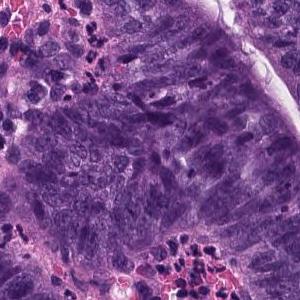
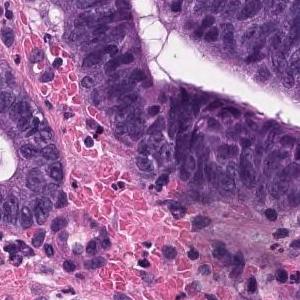
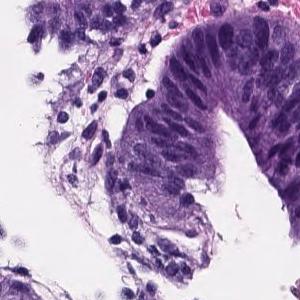
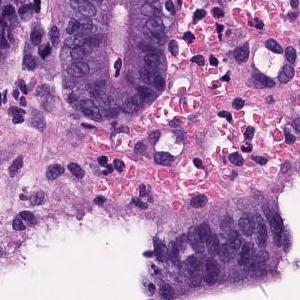
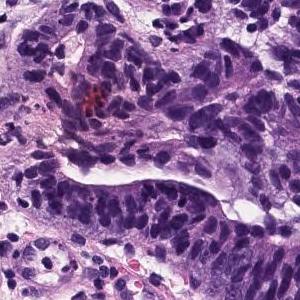
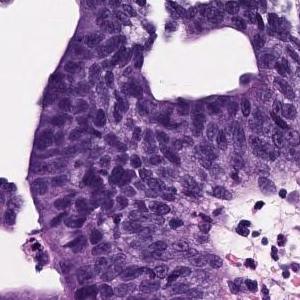
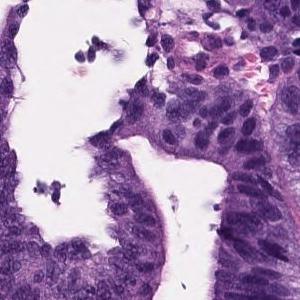
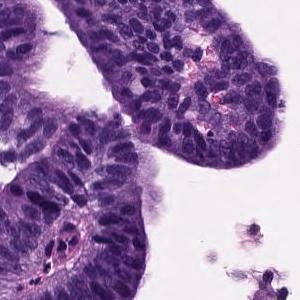
8 image tiles from a single gastric biopsy slide; 300×300 px each; scanned at ×20; H&E.
Pathology report for the slide these tiles were cut from. The report and the diagnosis cover the entire slide, so not every feature they name need be visible here, and some tissue shown may not be tumor.
Papillo-tubular growth of atypical tubules with nuclear swelling is observed. Well differentiated tubular adenocarcinoma
